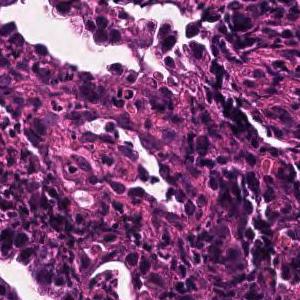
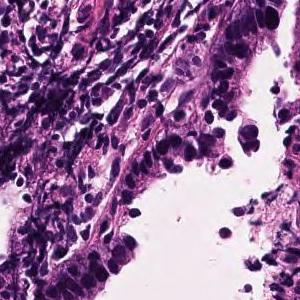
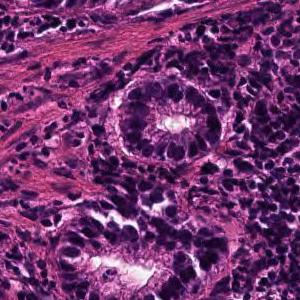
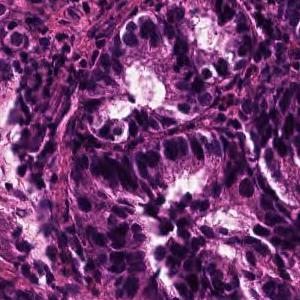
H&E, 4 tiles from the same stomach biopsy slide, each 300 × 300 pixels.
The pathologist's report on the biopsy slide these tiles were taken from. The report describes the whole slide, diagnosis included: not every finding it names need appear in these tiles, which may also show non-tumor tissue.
Tumor tissue consisting of large papillary structures is found in the superficial epithelium. Papillary adenocarcinoma.
